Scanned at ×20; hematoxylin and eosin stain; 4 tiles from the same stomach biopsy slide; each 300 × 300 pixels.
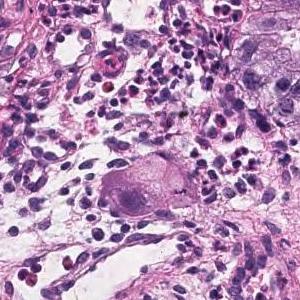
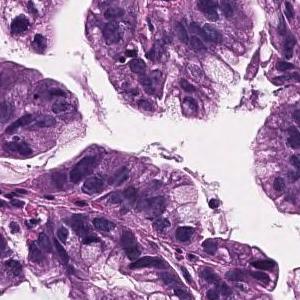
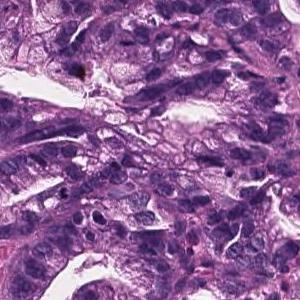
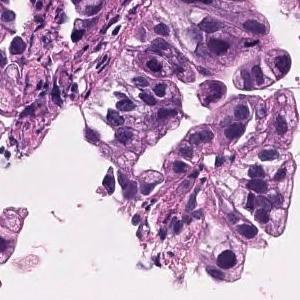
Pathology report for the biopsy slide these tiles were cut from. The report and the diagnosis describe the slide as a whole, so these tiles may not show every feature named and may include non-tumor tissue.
Tumor cells are large, highly columnar, large club-shaped nuclei, and are associated with chromatin aggregation. Papillary adenocarcinoma.
